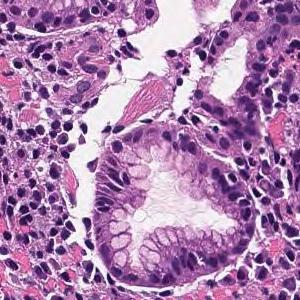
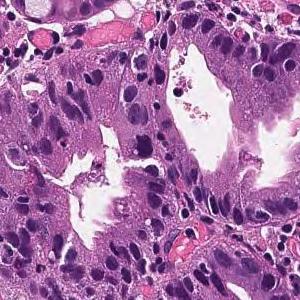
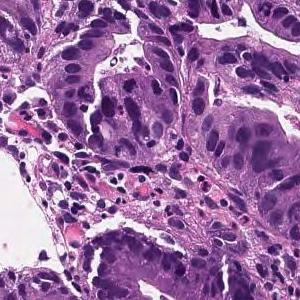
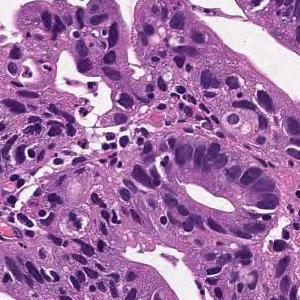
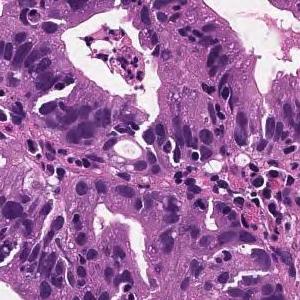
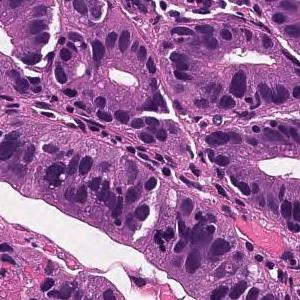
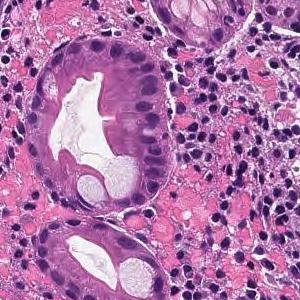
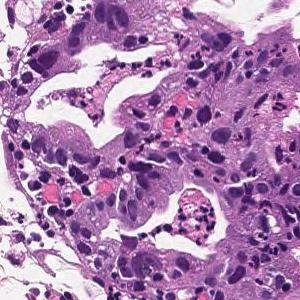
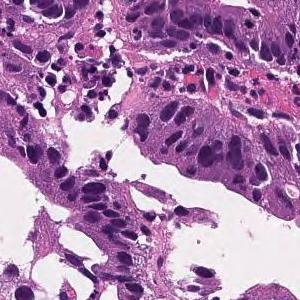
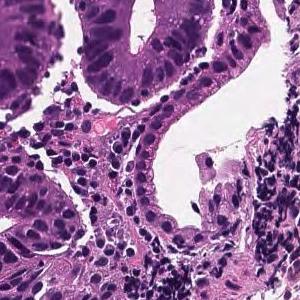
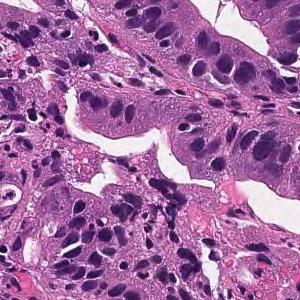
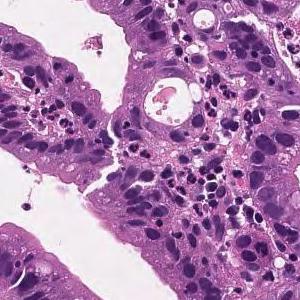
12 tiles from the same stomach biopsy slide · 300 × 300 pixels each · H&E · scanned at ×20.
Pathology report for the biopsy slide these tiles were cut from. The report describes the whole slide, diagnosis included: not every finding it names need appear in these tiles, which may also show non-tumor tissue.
From the superficial epithelium to the muscularis mucosae, tumor tissue consisting of medium-sized and irregular glandular ducts infiltrating is observed. Well differentiated tubular adenocarcinoma
